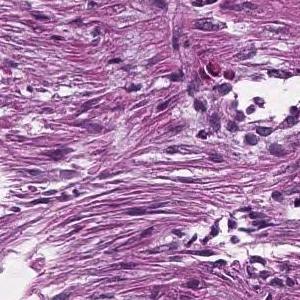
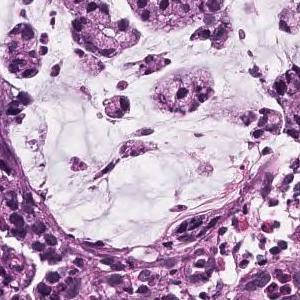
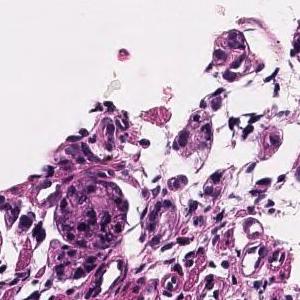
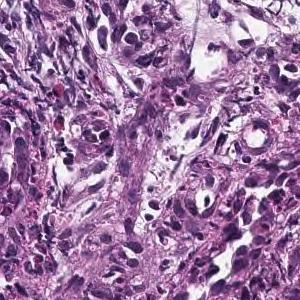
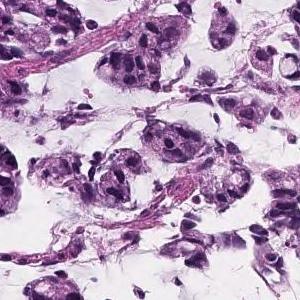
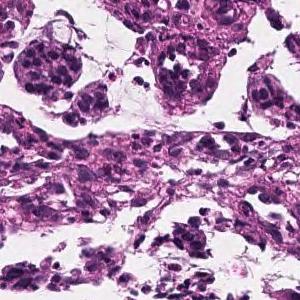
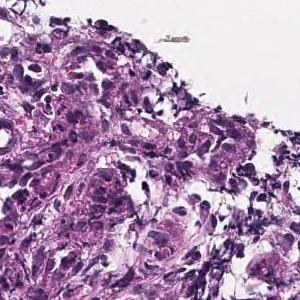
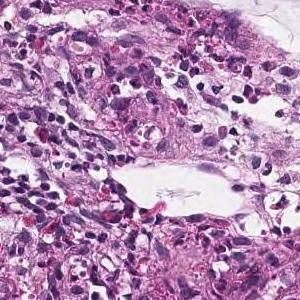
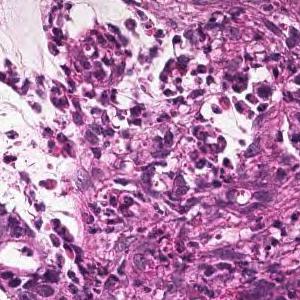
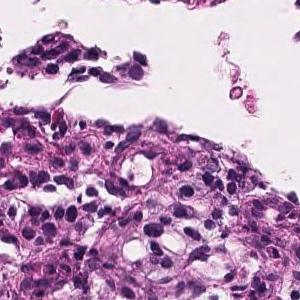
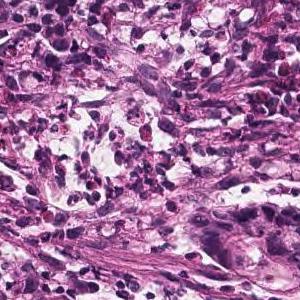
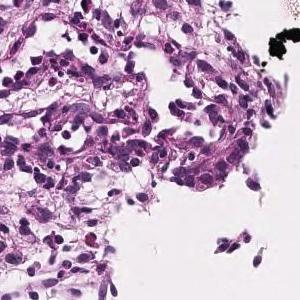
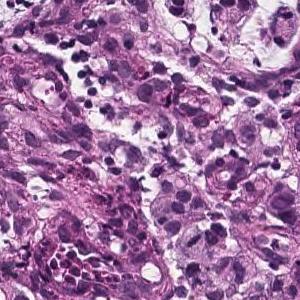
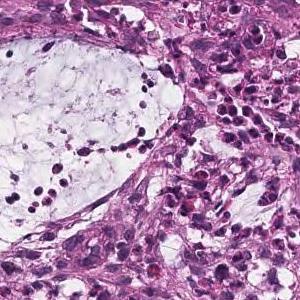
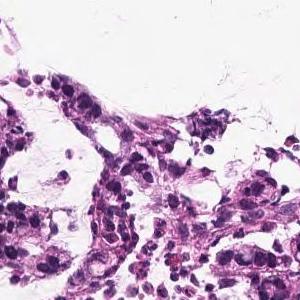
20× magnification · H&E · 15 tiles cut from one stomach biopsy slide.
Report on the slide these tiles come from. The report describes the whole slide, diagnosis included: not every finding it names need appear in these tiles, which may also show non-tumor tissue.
Atypical epithelial cells form obscure ductal structures or small solid follicles, and tumor tissue that proliferates invasively with proliferation of inflammatory granulation tissue is observed. Mucinous adenocarcinoma .
